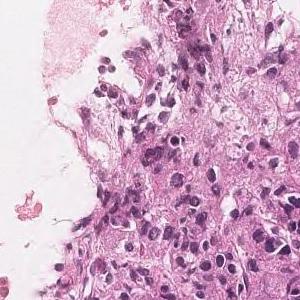
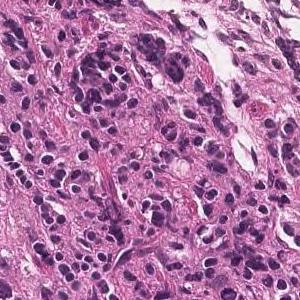
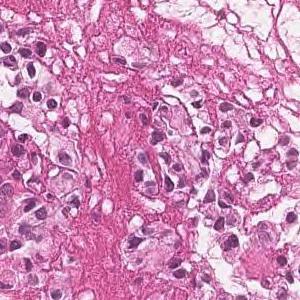
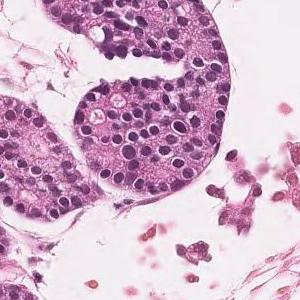
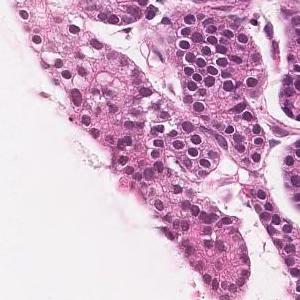
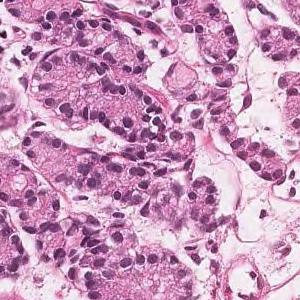
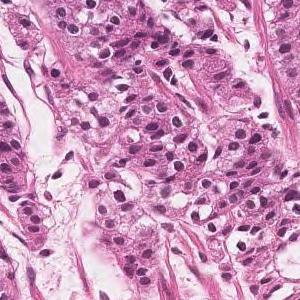
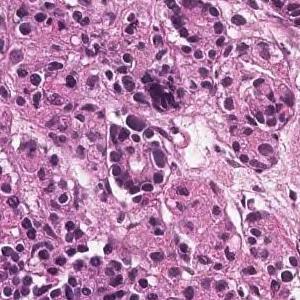
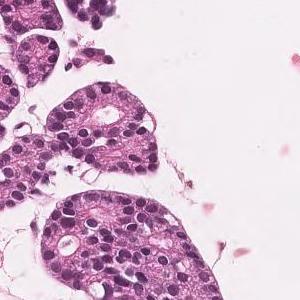
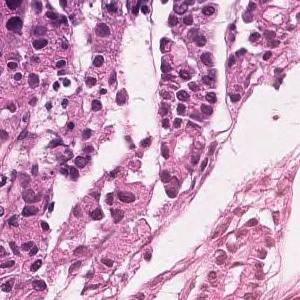
Scanned at ×20 · H&E · 10 tiles from the same stomach biopsy slide · 300×300 px each.
Pathology report for the biopsy slide these tiles were cut from. The report describes the whole slide, diagnosis included: not every finding it names need appear in these tiles, which may also show non-tumor tissue.
In the superficial epithelium, tumor tissue that invades by forming medium-sized to small, irregular ducts is observed. Moderately differentiated adenocarcinoma.
Subtype: Moderately differentiated tubular adenocarcinoma.
